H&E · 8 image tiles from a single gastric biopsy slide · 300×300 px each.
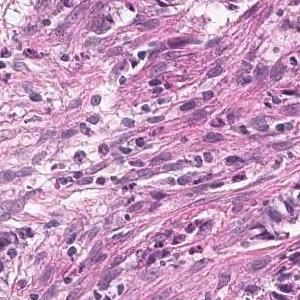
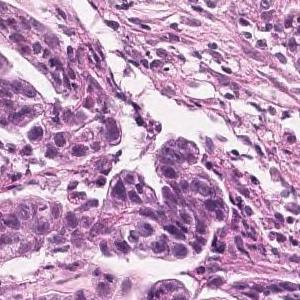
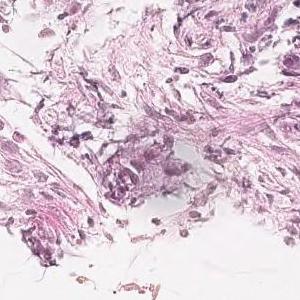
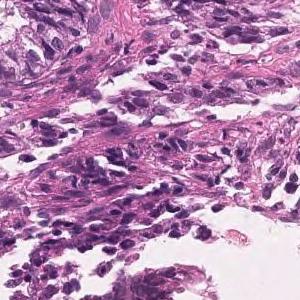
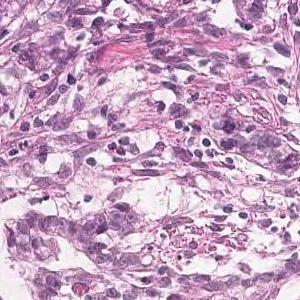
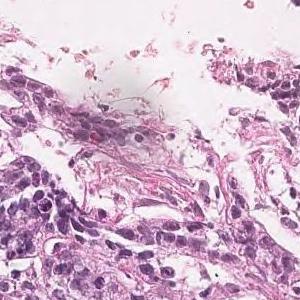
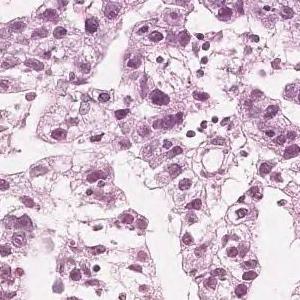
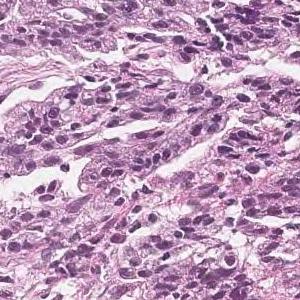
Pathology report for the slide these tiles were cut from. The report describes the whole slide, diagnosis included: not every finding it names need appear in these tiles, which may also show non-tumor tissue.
Tumor tissue in which highly columnar atypical epithelial cells with nuclear enlargement and increased nuclear chromatin show papillary to papillary ductal structure and proliferate is observed. Papillary adenocarcinoma.
